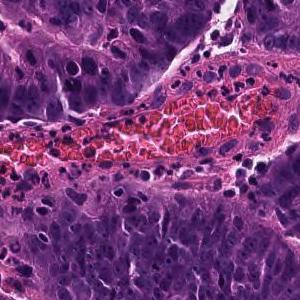
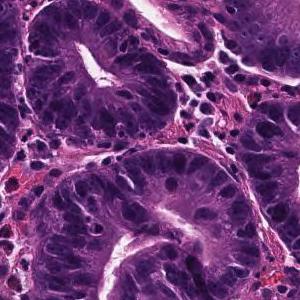
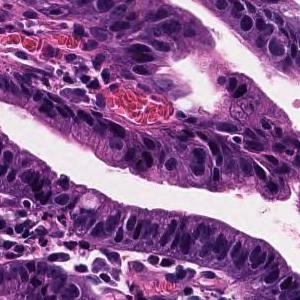
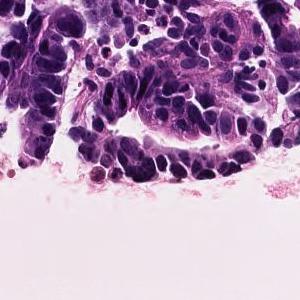
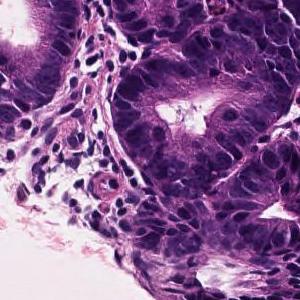
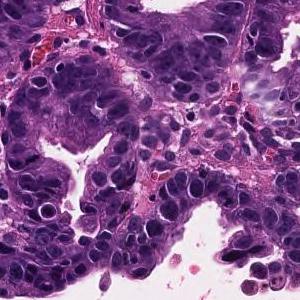
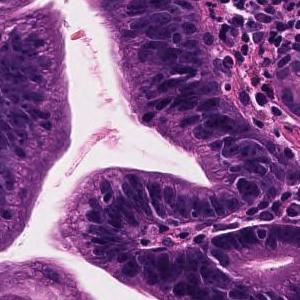
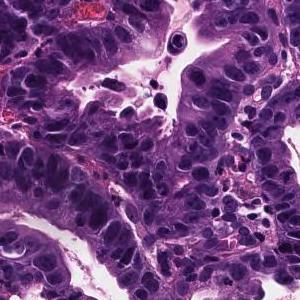
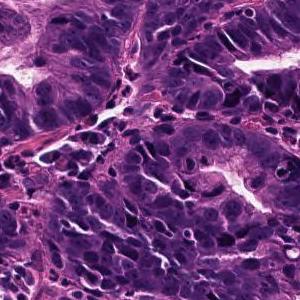
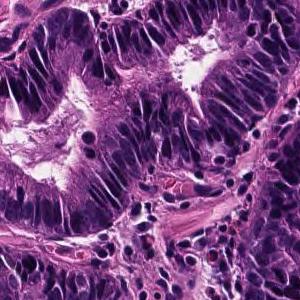
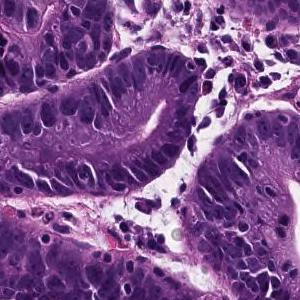
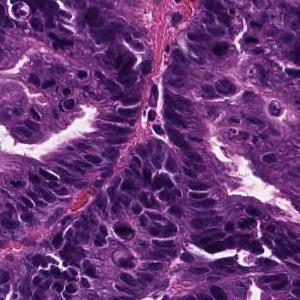
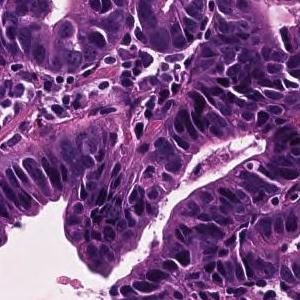
13 image tiles from a single gastric biopsy slide, each 300 × 300 pixels, H&E stain, ×20.
Diagnostic report for the slide these tiles come from. What the report and the diagnosis say applies to the whole slide; these tiles may miss some of the features named and may include tissue that is not tumor.
On the superficial epithelium, tumor tissue consisting of growth of medium-sized to large-sized, round or irregular glandular ducts is observed. Well differentiated tubular adenocarcinoma
